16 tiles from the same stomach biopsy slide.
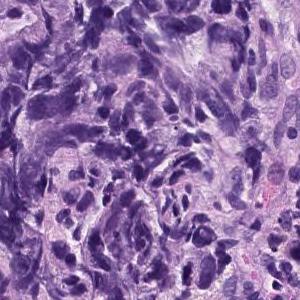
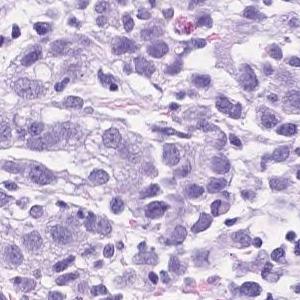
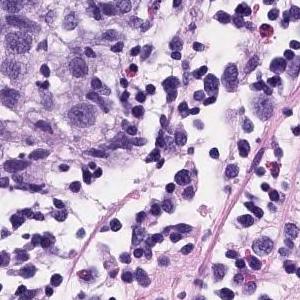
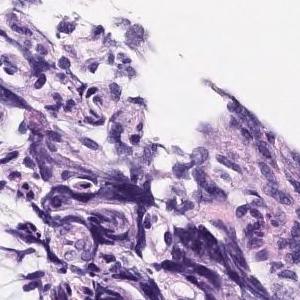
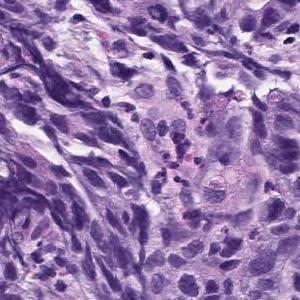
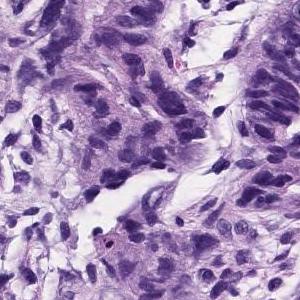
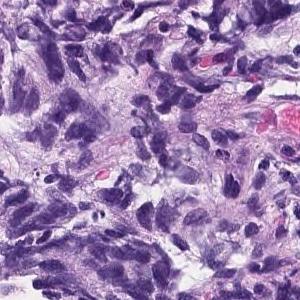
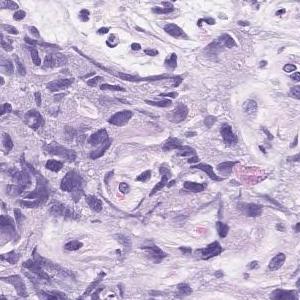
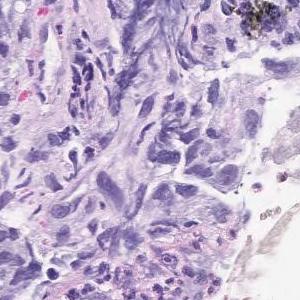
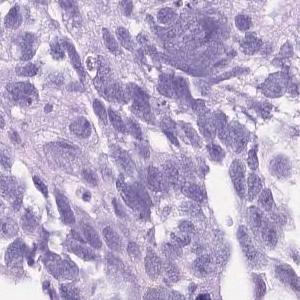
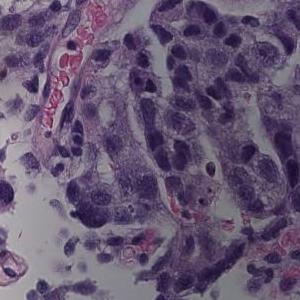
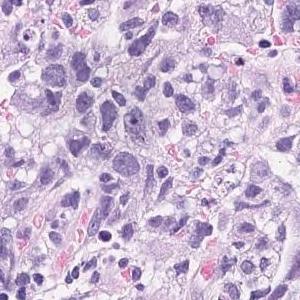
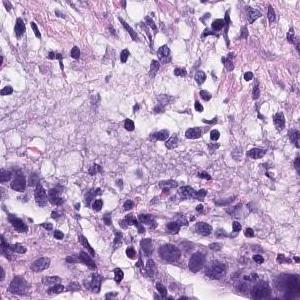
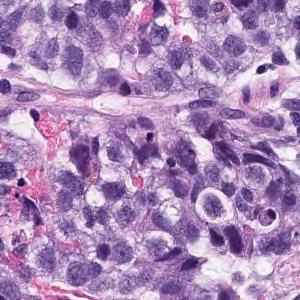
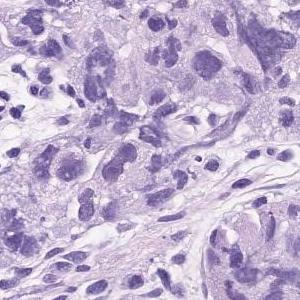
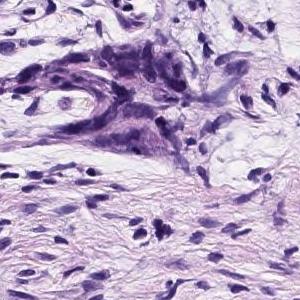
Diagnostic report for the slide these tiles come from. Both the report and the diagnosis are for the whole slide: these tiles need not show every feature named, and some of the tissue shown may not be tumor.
Atypical epithelial cells with an increased N/C ratio proliferate and consist of a part that shows the formation of gland ducts and a part that shows solid growth. Poorly differentiated adenocarcinoma, solid-type
Histologic type: Poorly differentiated adenocarcinoma, solid type, a category of the Japanese Classification of Gastric Carcinoma; in the WHO 2019 classification it is tubular adenocarcinoma, poorly differentiated.
